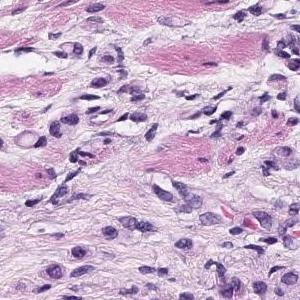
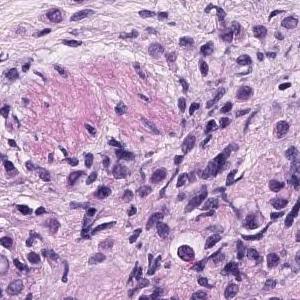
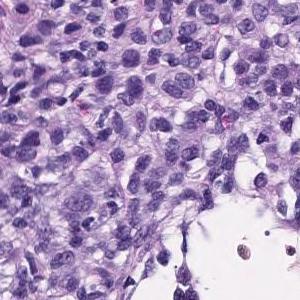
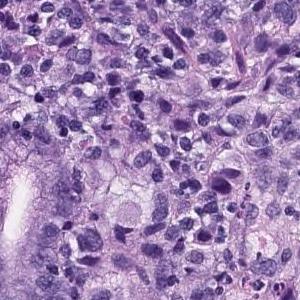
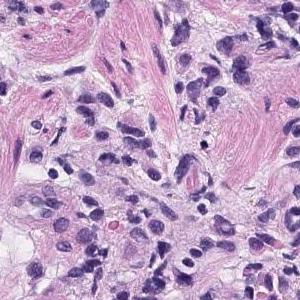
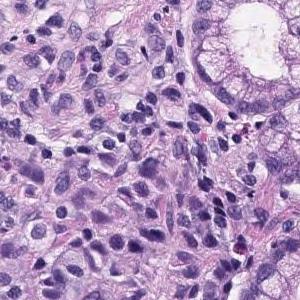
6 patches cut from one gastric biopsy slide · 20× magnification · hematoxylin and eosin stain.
Diagnostic report for the slide these tiles come from. The findings and the diagnosis refer to the entire slide; these tiles show only part of it, possibly with non-tumor tissue, and may not show every feature named.
There are medium-sized atypical cells with marked nuclear swelling and increased N/C ratio, which grow into solid or isolated scattered cells. Poorly differentiated adenocarcinoma
Classified as poorly differentiated adenocarcinoma, solid type, a category of the Japanese Classification of Gastric Carcinoma; in the WHO 2019 classification it is tubular adenocarcinoma, poorly differentiated.
